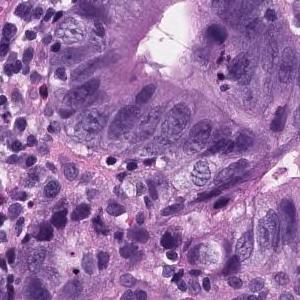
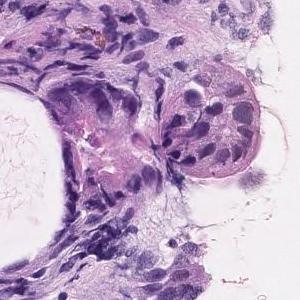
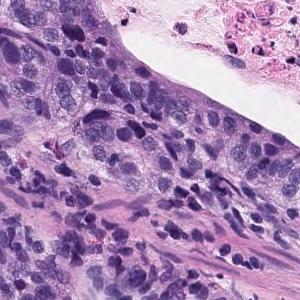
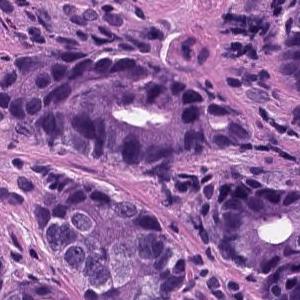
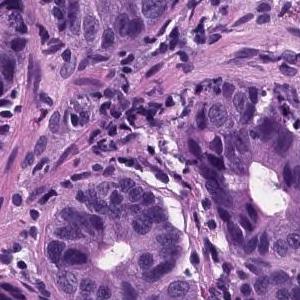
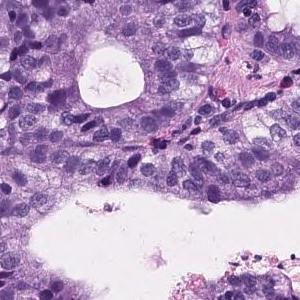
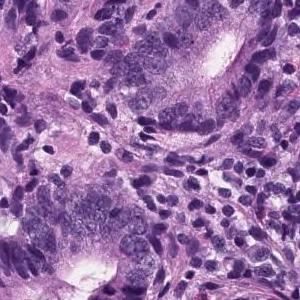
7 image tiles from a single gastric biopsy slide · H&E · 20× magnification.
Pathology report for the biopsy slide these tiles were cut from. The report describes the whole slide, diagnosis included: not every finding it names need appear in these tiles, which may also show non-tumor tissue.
Tumor tissue consisting of medium-sized and irregular ducts is observed infiltrating in the superficial epithelium. Tumor cells are highly columnar, with nuclei aligned basolaterally and polarized. Well differentiated tubular adenocarcinoma.
